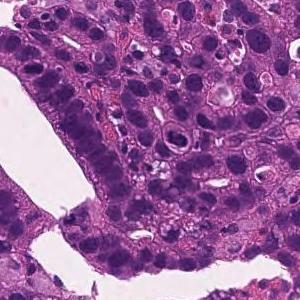
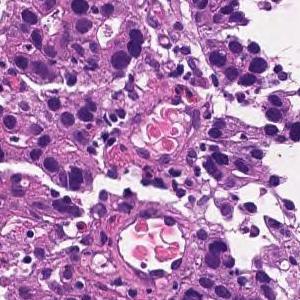
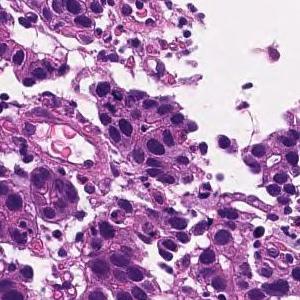
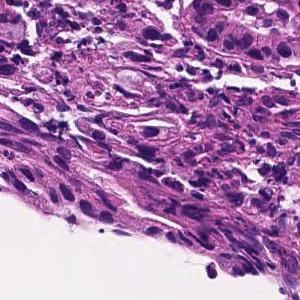
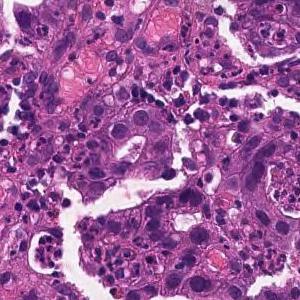
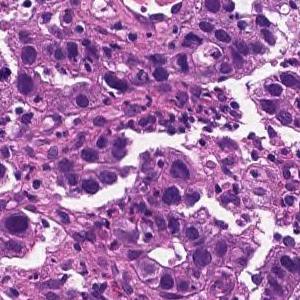
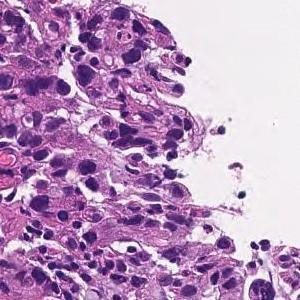
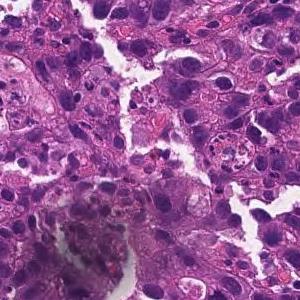
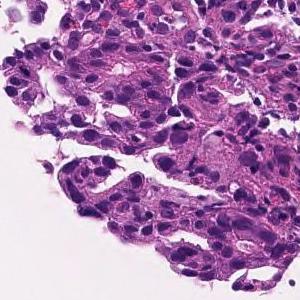
9 patches cut from one gastric biopsy slide · 300 × 300 pixels each · hematoxylin and eosin stain · 20× magnification.
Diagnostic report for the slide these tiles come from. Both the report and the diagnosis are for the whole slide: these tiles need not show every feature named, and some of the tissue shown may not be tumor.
Medium to small, irregular glandular ducts are formed in the superficial epithelium, and in some cases, the glandular ducts are fused to show solid alveolar lesions and infiltrating tumor tissue is observed. Moderately to poorly differentiated adenocarcinoma.
